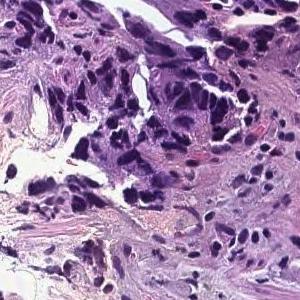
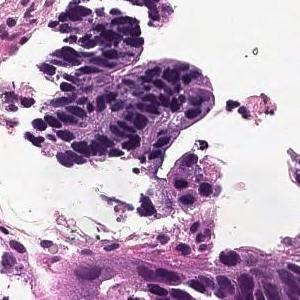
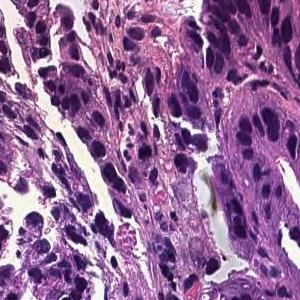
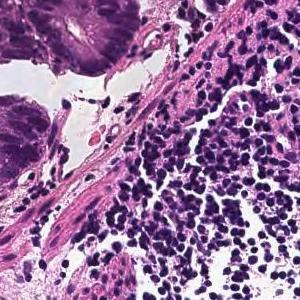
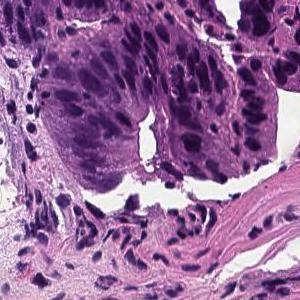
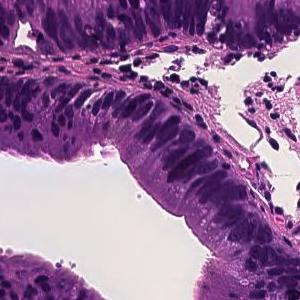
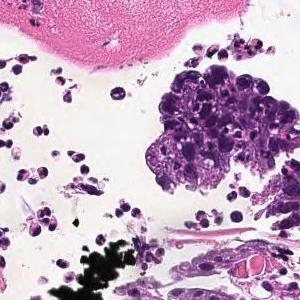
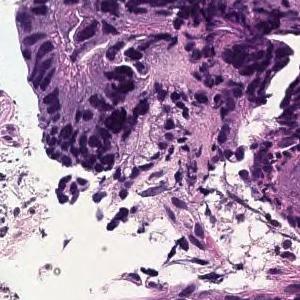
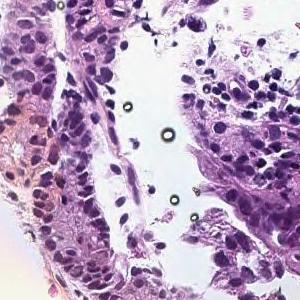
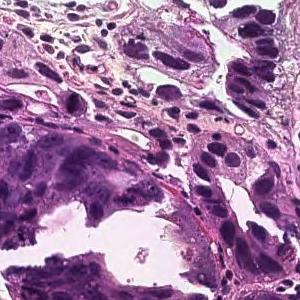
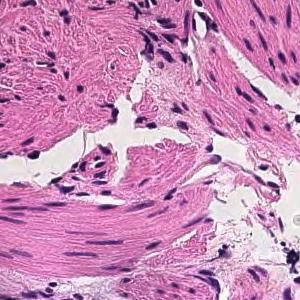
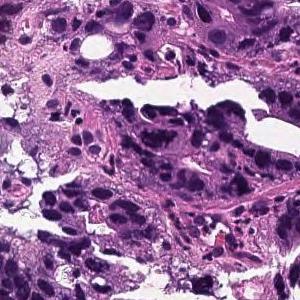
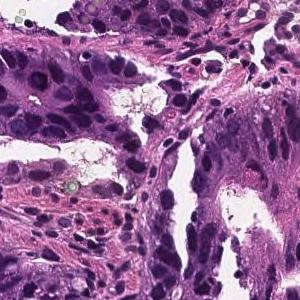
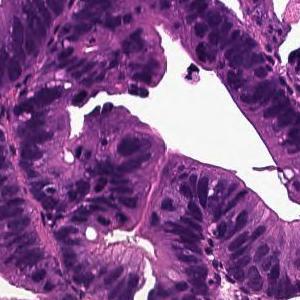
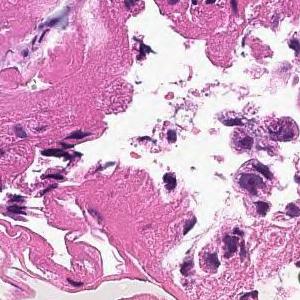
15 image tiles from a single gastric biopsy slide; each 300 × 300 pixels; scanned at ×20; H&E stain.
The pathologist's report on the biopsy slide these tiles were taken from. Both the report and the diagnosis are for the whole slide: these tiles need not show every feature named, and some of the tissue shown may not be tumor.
In the superficial epithelium, tumor tissue that invades by forming medium-sized to small, irregular ducts is observed. moderately differentiated tubular adenocarcinoma.
